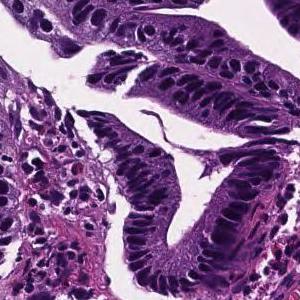
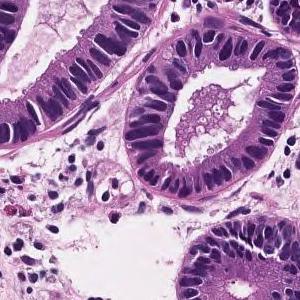
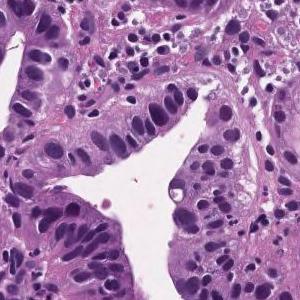
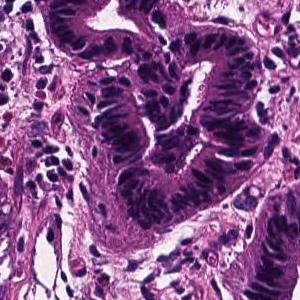
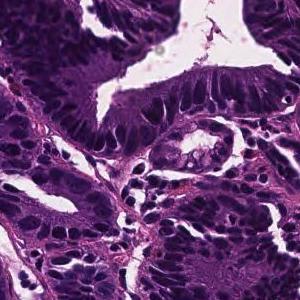
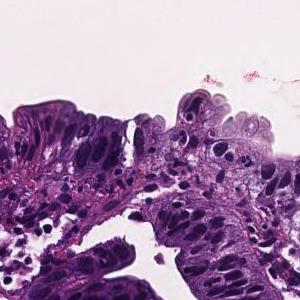
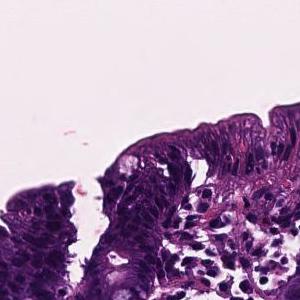
7 image tiles from a single gastric biopsy slide; 300 × 300 pixels each; scanned at ×20; hematoxylin and eosin stain.
Pathology report for the slide these tiles were cut from. The report describes the whole slide, diagnosis included: not every finding it names need appear in these tiles, which may also show non-tumor tissue.
Tumor cells are large, highly columnar, large club-shaped nuclei, and are associated with chromatin aggregation. Papillary adenocarcinoma.
